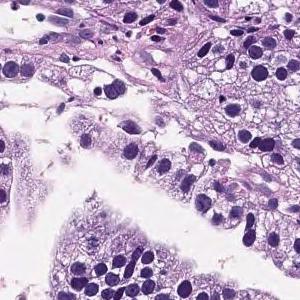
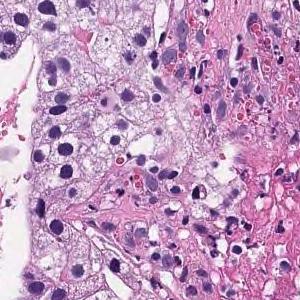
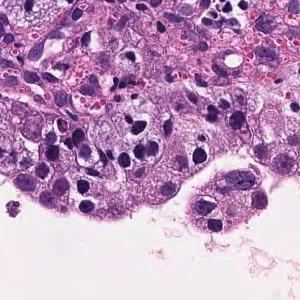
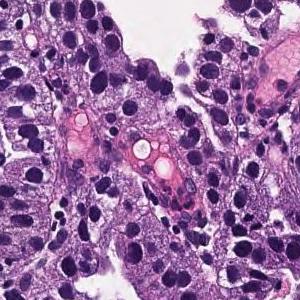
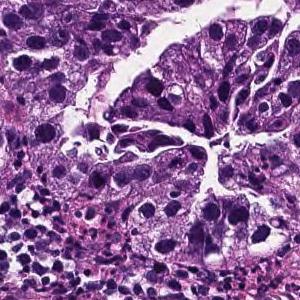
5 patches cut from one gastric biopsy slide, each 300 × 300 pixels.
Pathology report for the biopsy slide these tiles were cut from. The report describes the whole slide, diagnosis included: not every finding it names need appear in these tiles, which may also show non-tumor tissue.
On the superficial epithelium, tumor tissue that infiltrates by forming medium-sized papillary or small irregular ducts is observed. Papillary adenocarcinoma
